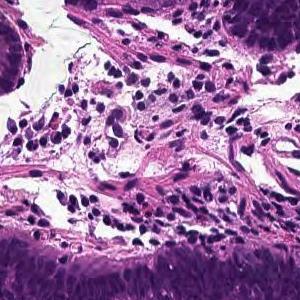
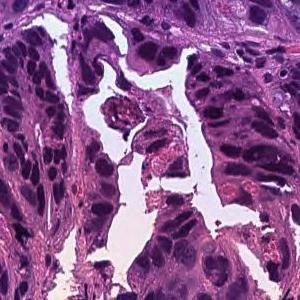
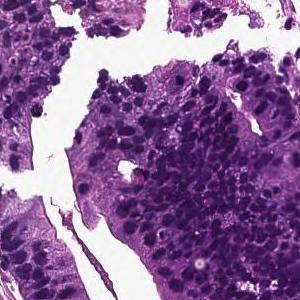
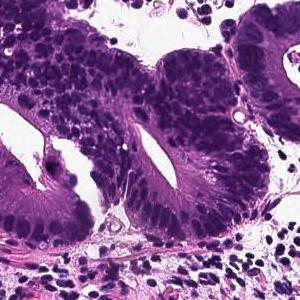
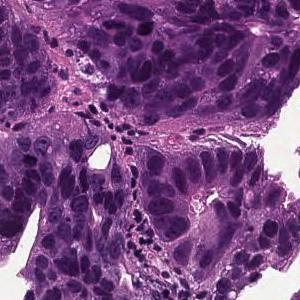
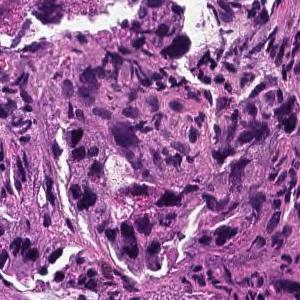
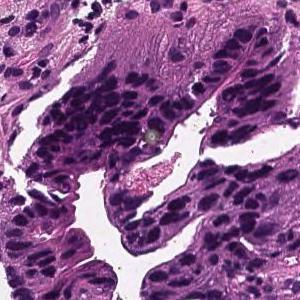
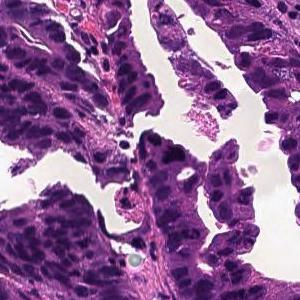
8 image tiles from a single gastric biopsy slide · 300×300 px each · scanned at ×20 · H&E stain.
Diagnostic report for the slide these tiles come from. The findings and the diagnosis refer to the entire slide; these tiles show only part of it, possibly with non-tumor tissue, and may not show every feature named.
In the superficial epithelium, tumor tissue that invades by forming medium-sized to small, irregular ducts is observed. moderately differentiated tubular adenocarcinoma.
